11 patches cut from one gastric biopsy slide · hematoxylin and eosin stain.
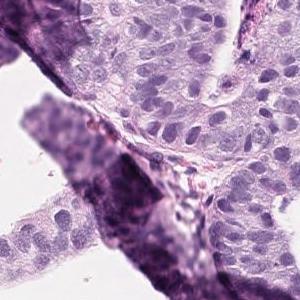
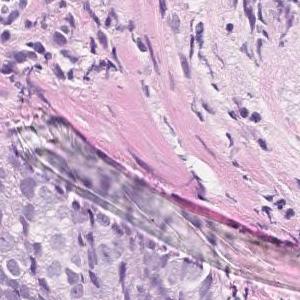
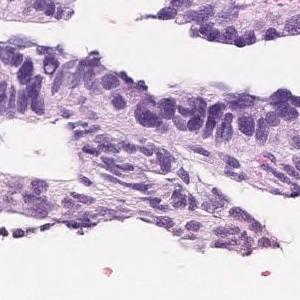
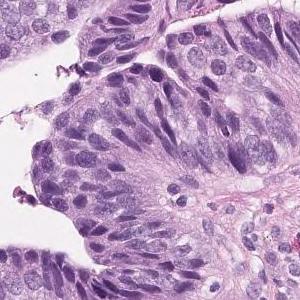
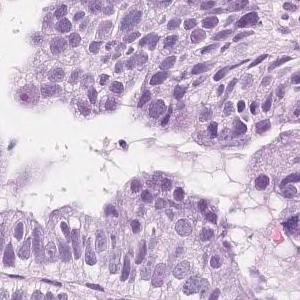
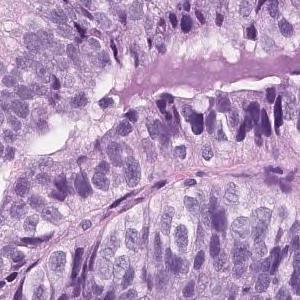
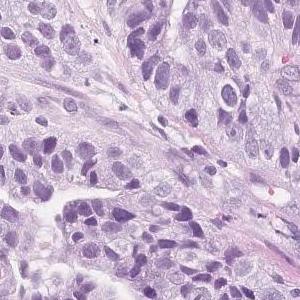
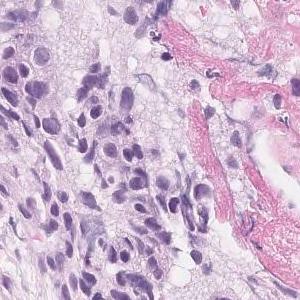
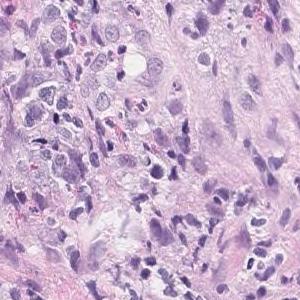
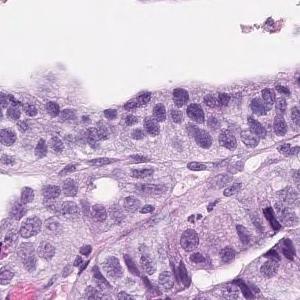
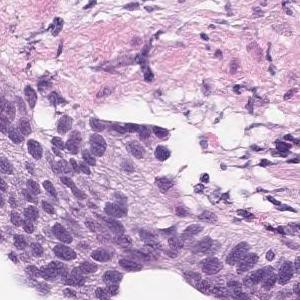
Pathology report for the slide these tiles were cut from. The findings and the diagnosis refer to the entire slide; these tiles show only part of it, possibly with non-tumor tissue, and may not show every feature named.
Tumor tissue in which highly columnar atypical epithelial cells with nuclear enlargement and increased nuclear chromatin show papillary to papillary ductal structure and proliferate is observed. Papillary adenocarcinoma.
